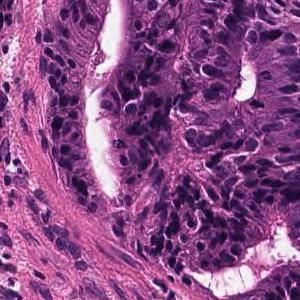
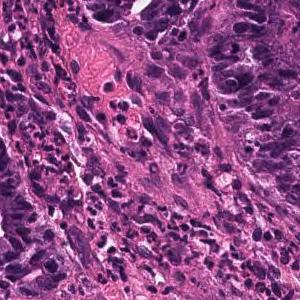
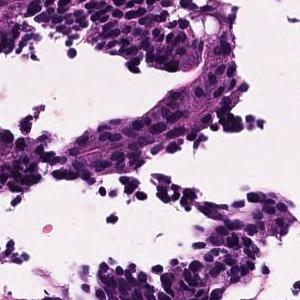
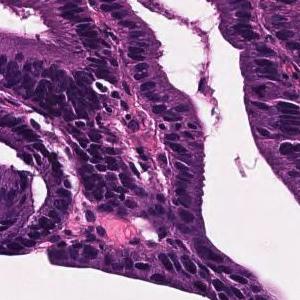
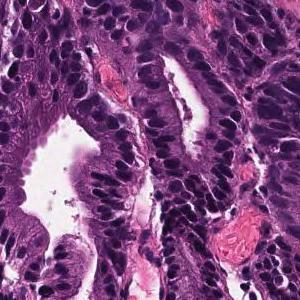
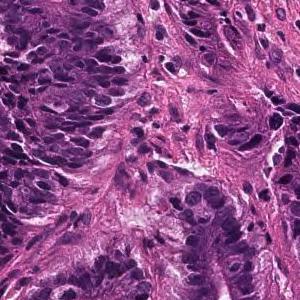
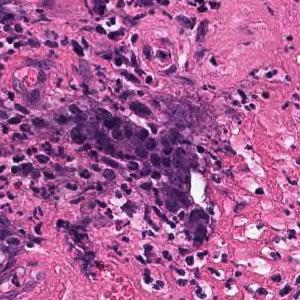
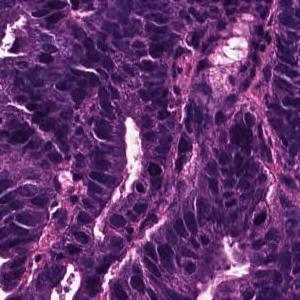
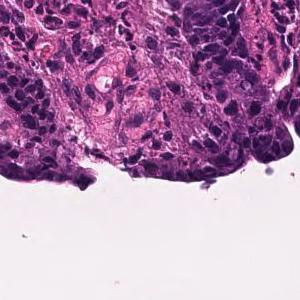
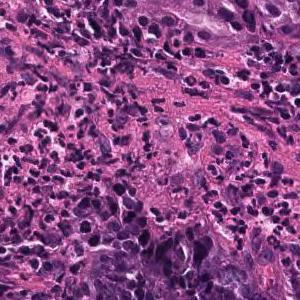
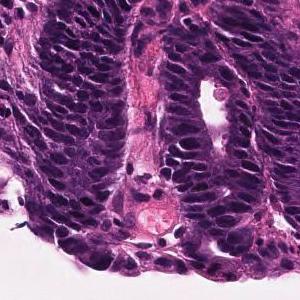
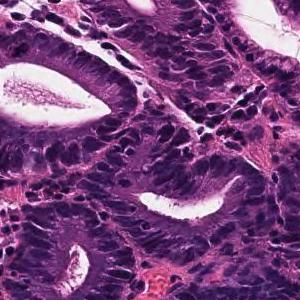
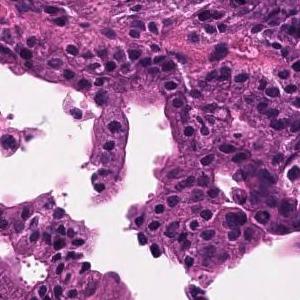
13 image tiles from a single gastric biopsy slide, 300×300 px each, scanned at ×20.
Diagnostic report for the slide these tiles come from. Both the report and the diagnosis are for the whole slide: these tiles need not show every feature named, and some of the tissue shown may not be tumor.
Tumor tissue that remains within the superficial epithelium and is infiltrated by large papillary or irregular ducts that fuse with each other is observed. Well differentiated tubular adenocarcinoma
